6 image tiles from a single gastric biopsy slide · 300 × 300 pixels each · H&E stain · 20× magnification.
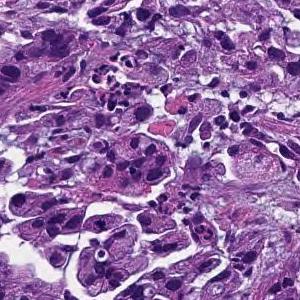
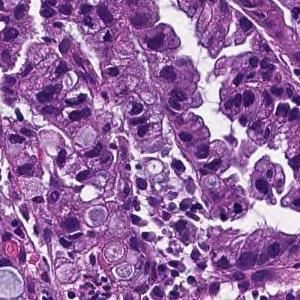
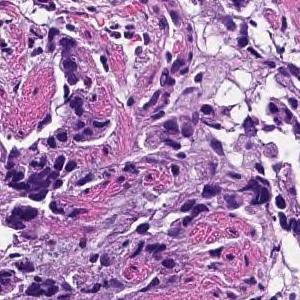
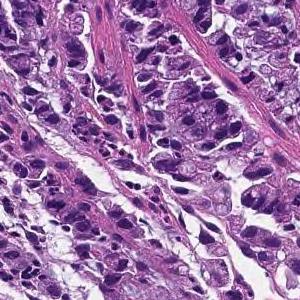
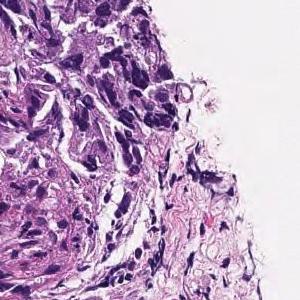
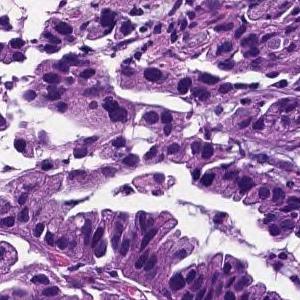
Pathology report for the slide these tiles were cut from. What the report and the diagnosis say applies to the whole slide; these tiles may miss some of the features named and may include tissue that is not tumor.
Tumor tissue consisting of medium-sized, cord-like or irregular glandular infiltration is observed in the superficial epithelium. Poorly differentiated adenocarcinoma, non-solid type or moderately differentiated tubular adenocarcinoma
Tumor subtype: moderately to poorly differentiated adenocarcinoma.
The term "non-solid type" comes from the Japanese Classification of Gastric Carcinoma.
